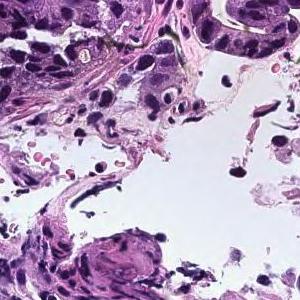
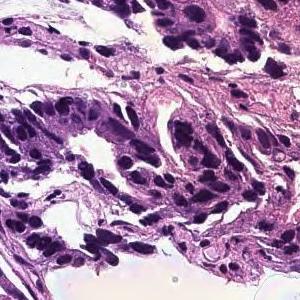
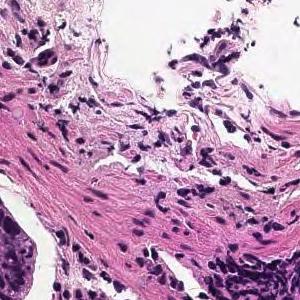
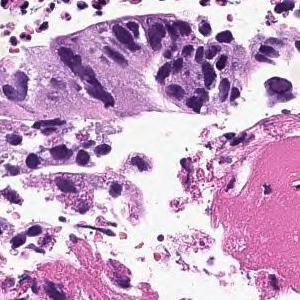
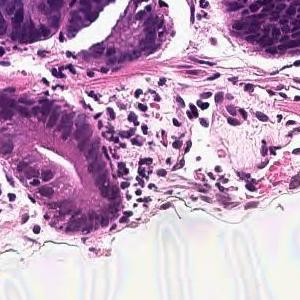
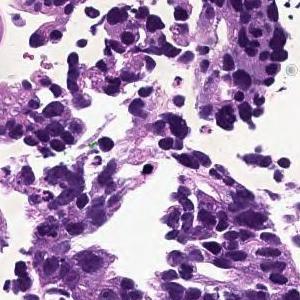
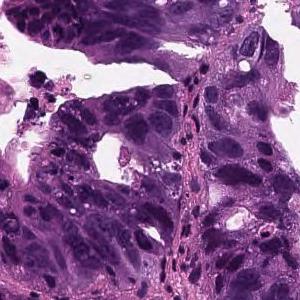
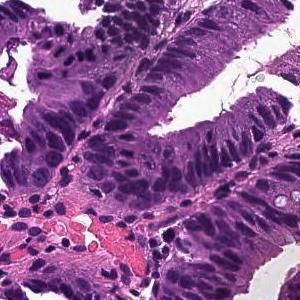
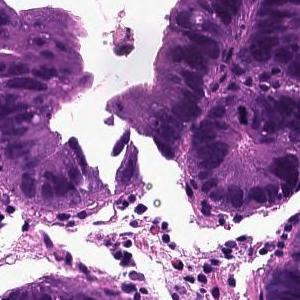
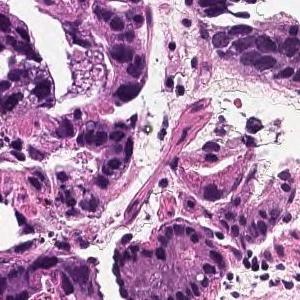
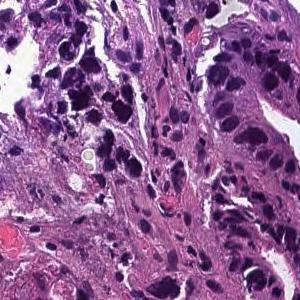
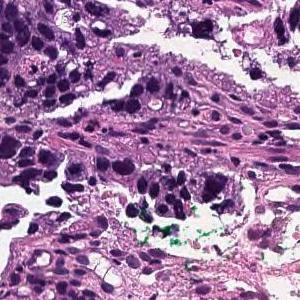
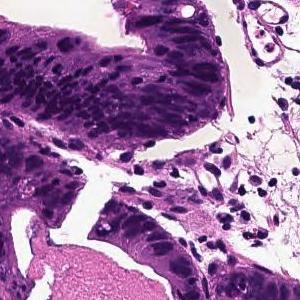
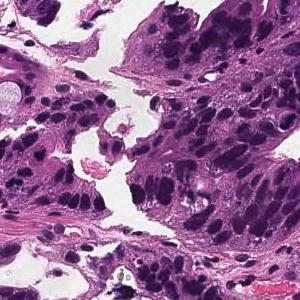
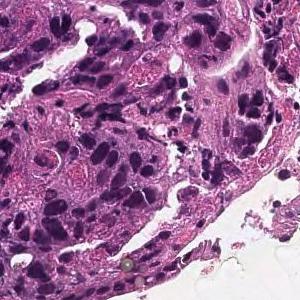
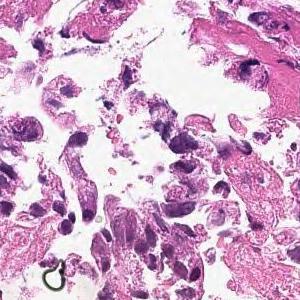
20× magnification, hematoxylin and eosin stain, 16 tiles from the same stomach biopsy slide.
Pathology report for the slide these tiles were cut from. The report describes the whole slide, diagnosis included: not every finding it names need appear in these tiles, which may also show non-tumor tissue.
In the superficial epithelium, tumor tissue that invades by forming medium-sized to small, irregular ducts is observed. moderately differentiated tubular adenocarcinoma.
